15 patches cut from one gastric biopsy slide; 20× magnification.
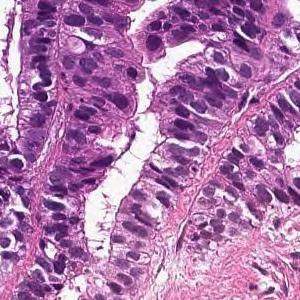
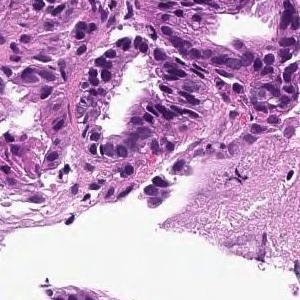
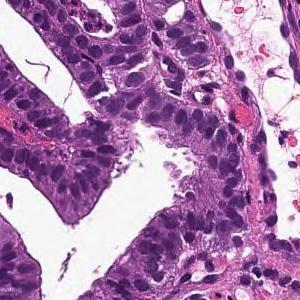
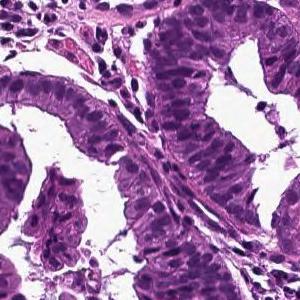
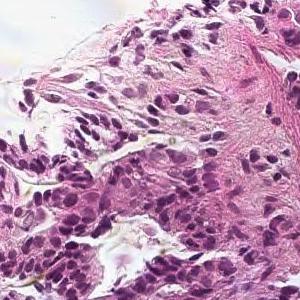
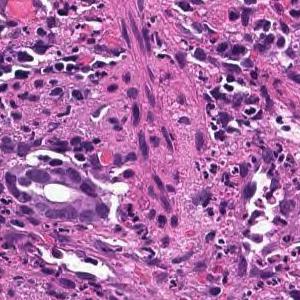
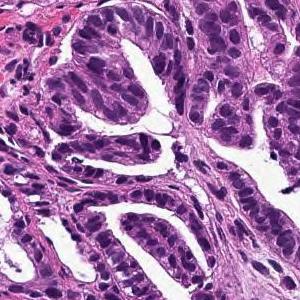
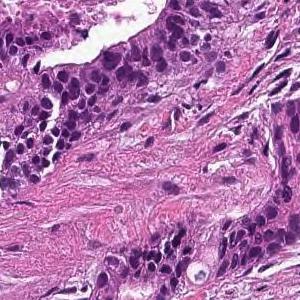
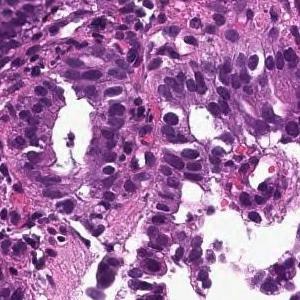
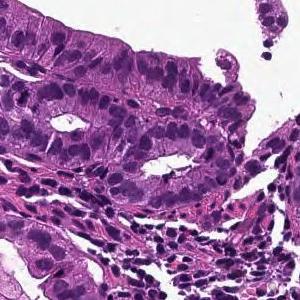
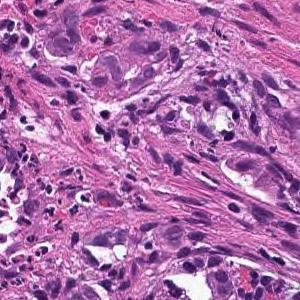
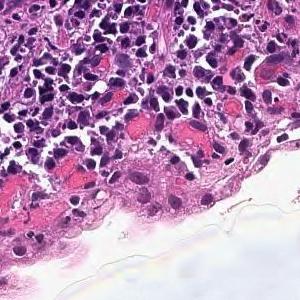
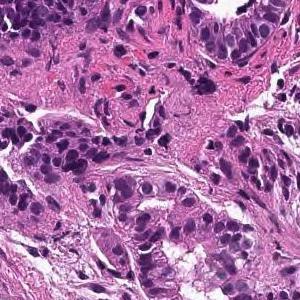
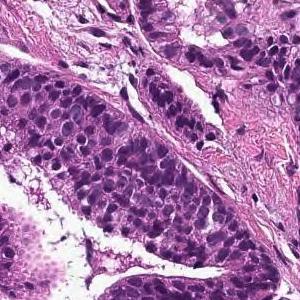
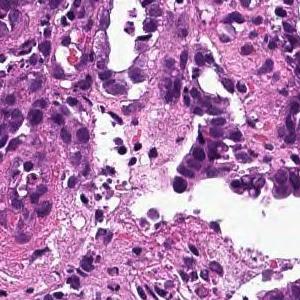
The pathologist's report on the biopsy slide these tiles were taken from. The findings and the diagnosis refer to the entire slide; these tiles show only part of it, possibly with non-tumor tissue, and may not show every feature named.
Tumor cells are large, highly columnar, large club-shaped nuclei, and are associated with chromatin aggregation. Papillary adenocarcinoma.
